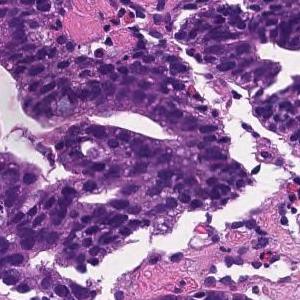
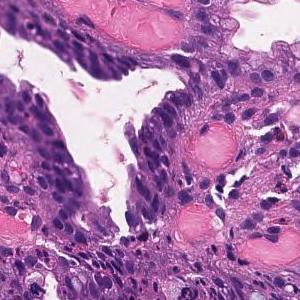
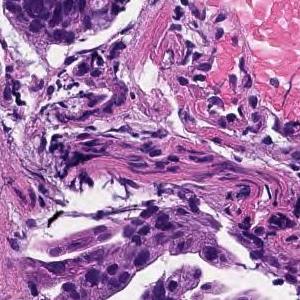
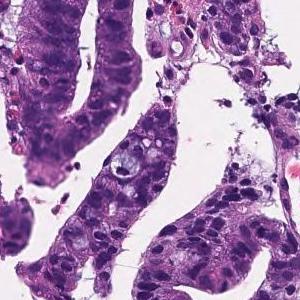
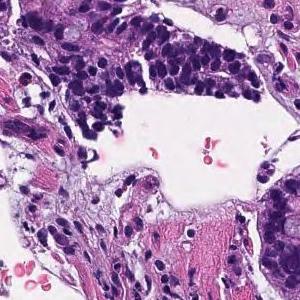
H&E stain · 5 tiles cut from one stomach biopsy slide · 300 × 300 pixels each.
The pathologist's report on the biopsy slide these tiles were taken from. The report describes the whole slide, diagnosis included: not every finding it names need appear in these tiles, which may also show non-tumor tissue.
Tumor cells are large, highly columnar, large club-shaped nuclei, and are associated with chromatin aggregation. Papillary adenocarcinoma.
